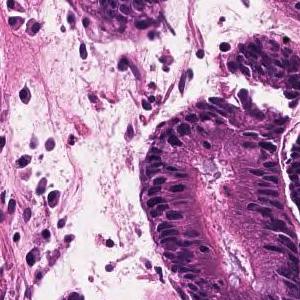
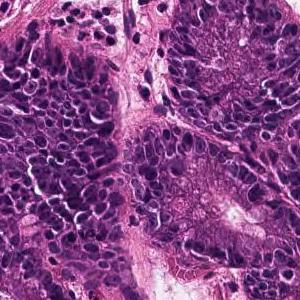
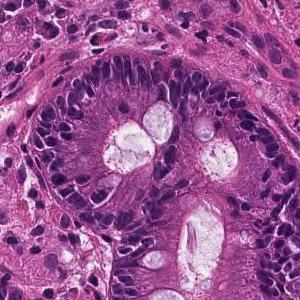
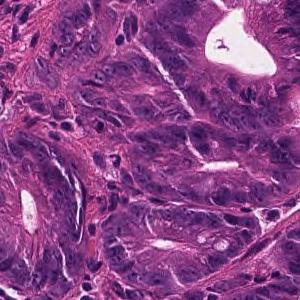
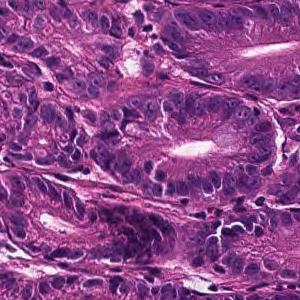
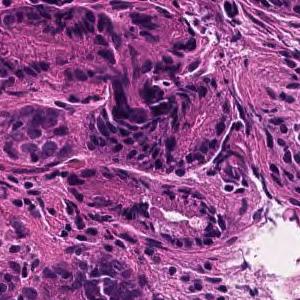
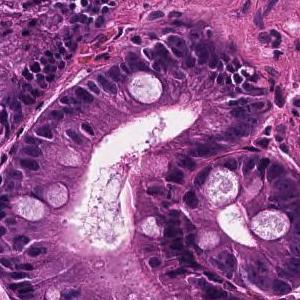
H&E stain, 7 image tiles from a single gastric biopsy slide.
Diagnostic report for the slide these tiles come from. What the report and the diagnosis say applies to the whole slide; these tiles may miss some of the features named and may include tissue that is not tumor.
Medium to small, irregular glandular ducts are formed in the superficial epithelium, and in some cases, the glandular ducts are fused to show solid alveolar lesions and infiltrating tumor tissue is observed. Moderately to poorly differentiated adenocarcinoma.
